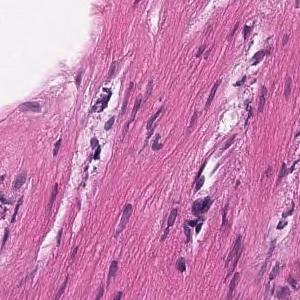
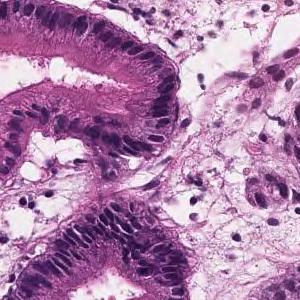
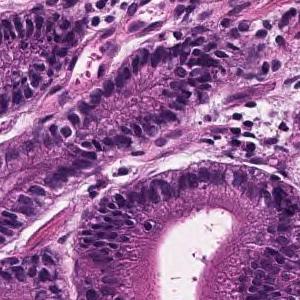
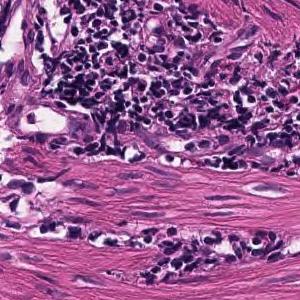
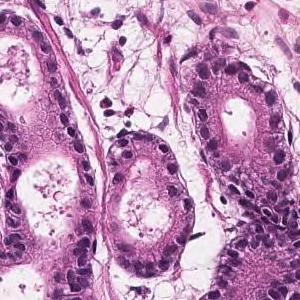
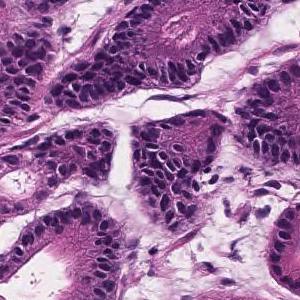
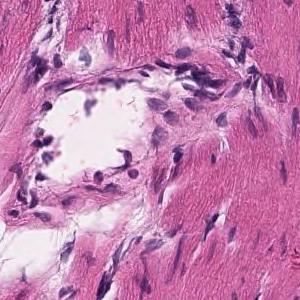
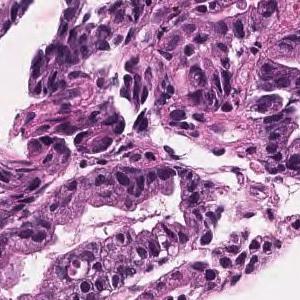
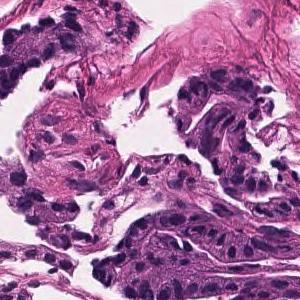
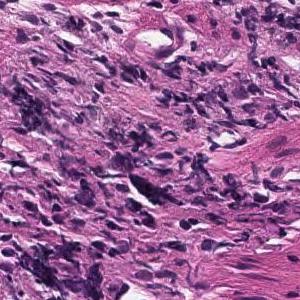
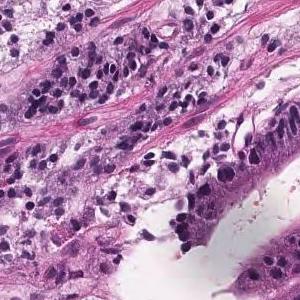
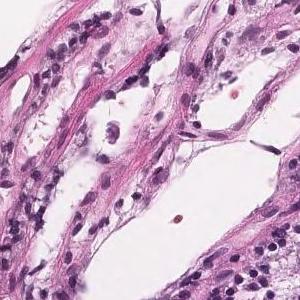
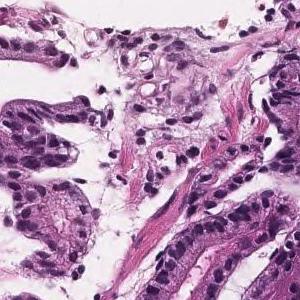
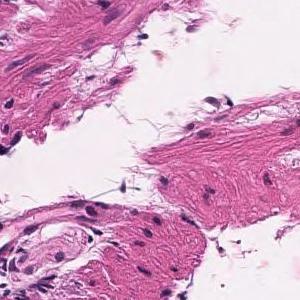
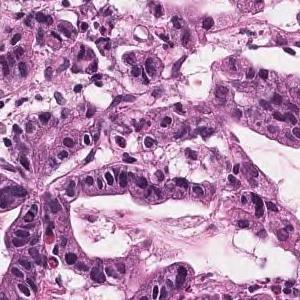
Hematoxylin and eosin stain, 15 image tiles from a single gastric biopsy slide, 300×300 px each.
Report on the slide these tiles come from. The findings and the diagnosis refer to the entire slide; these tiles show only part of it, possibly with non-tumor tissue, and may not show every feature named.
Tumor tissue with atypical epithelium showing irregular ductal or sieving ductal structure and proliferating is observed. Well to moderately differentiated tubular adenocarcinoma (well differentiated tubular adenocarcinoma-moderately differentiated tubular adenocarcinoma)
Histological subtype: Well to moderately differentiated tubular adenocarcinoma.
